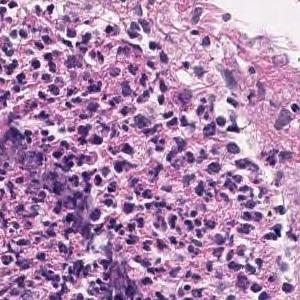
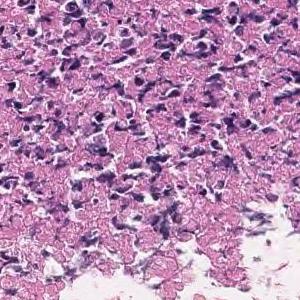
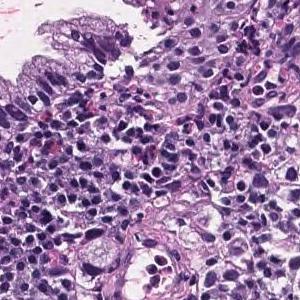
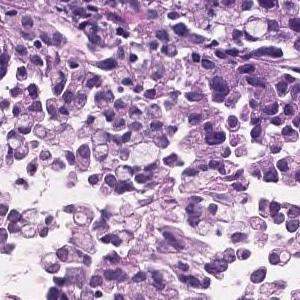
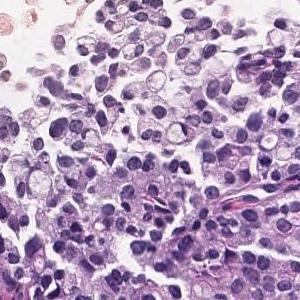
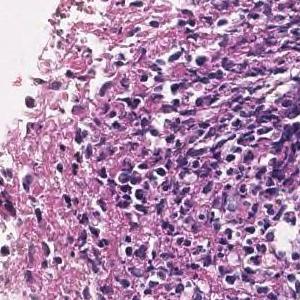
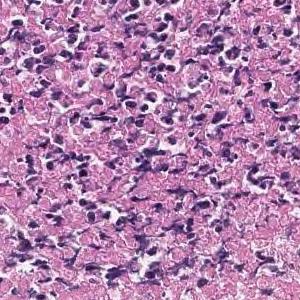
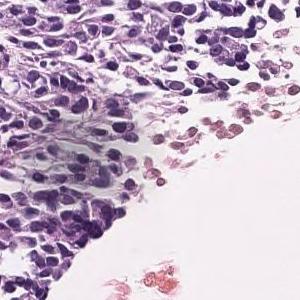
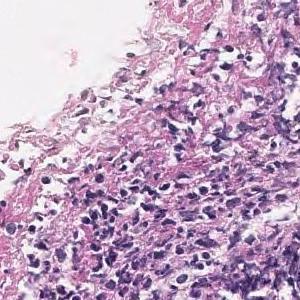
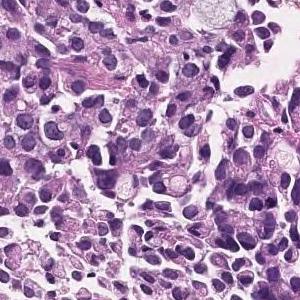
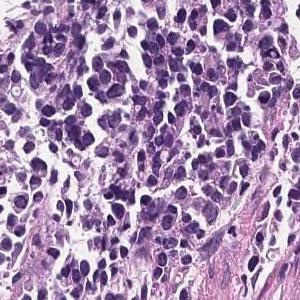
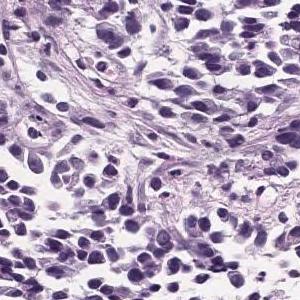
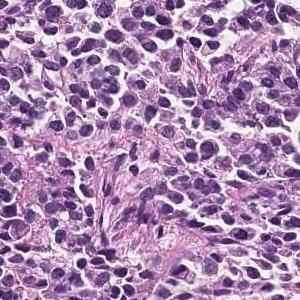
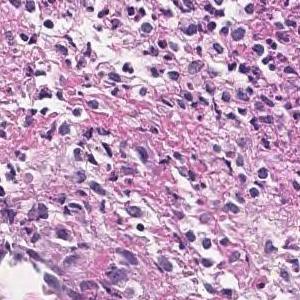
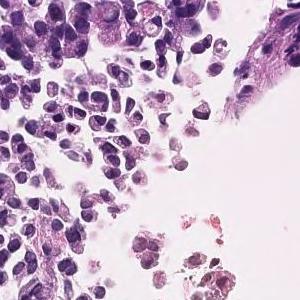
H&E · ×20 · 15 patches cut from one gastric biopsy slide.
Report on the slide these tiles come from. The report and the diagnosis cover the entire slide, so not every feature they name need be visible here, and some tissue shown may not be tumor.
The superficial epithelium shows a large sheet-like shape, and some tumor tissue infiltrates with small irregular ducts. Poorly differentiated adenocarcinoma, solid-type
Tumor subtype: poorly differentiated adenocarcinoma, solid type, a category of the Japanese Classification of Gastric Carcinoma; in the WHO 2019 classification it is tubular adenocarcinoma, poorly differentiated.
